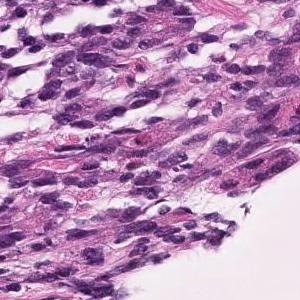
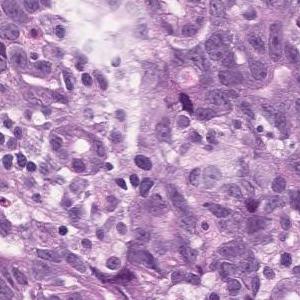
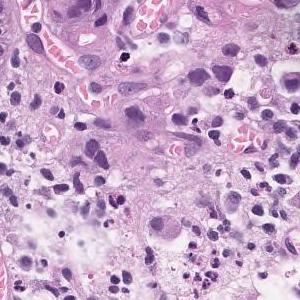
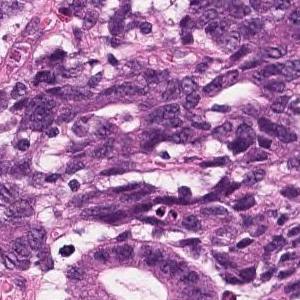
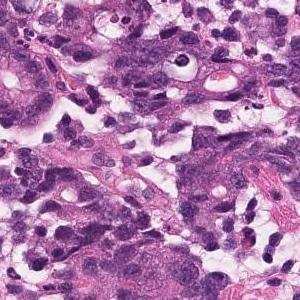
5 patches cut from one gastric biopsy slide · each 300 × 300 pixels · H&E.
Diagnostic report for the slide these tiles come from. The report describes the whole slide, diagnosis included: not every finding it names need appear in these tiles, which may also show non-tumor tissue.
It is mixed with the existing pit epithelium and pyloric gland epithelium, and irregularly fused and branched atypical ducts are observed. Moderately differentiated tubular adenocarcinoma (well differentiated tubular adenocarcinoma)
Dataset label: moderately differentiated tubular adenocarcinoma.
